12 tiles from the same stomach biopsy slide · 300 × 300 pixels each · 20× magnification.
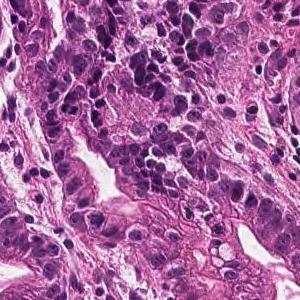
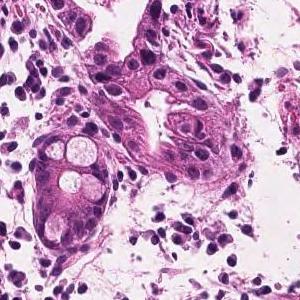
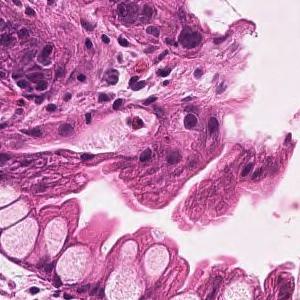
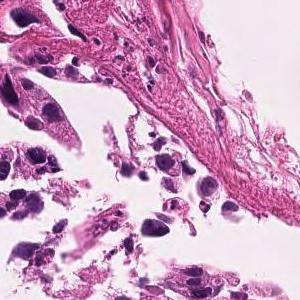
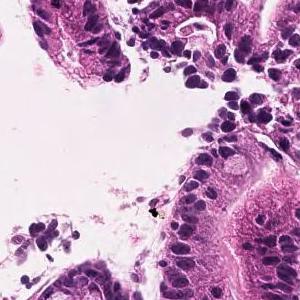
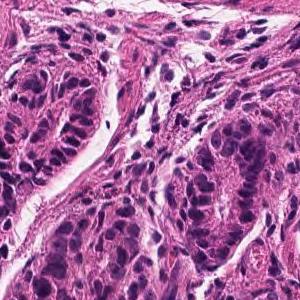
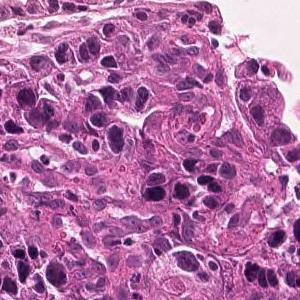
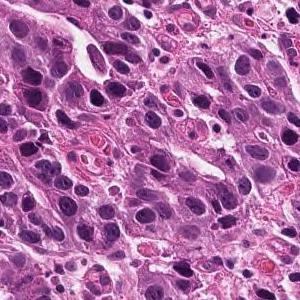
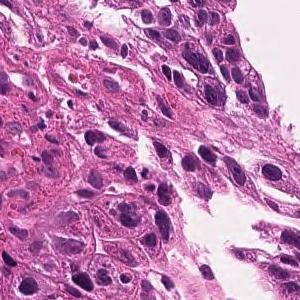
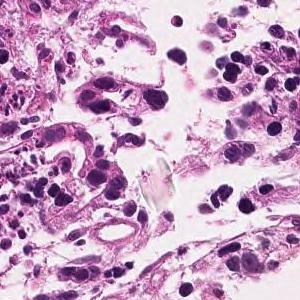
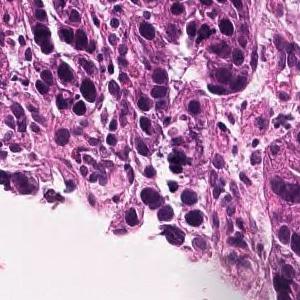
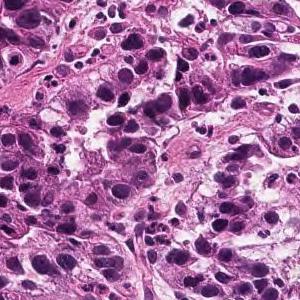
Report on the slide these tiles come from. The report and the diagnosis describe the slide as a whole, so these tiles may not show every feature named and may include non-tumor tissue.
Tumor tissue consisting of medium-sized, cord-like or irregular glandular infiltration is observed in the superficial epithelium. Poorly differentiated adenocarcinoma, non-solid type or moderately differentiated tubular adenocarcinoma
Classified as moderately to poorly differentiated adenocarcinoma.
The non-solid type named here is a Japanese Classification of Gastric Carcinoma category.
